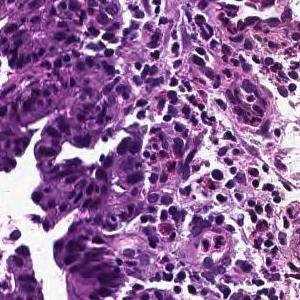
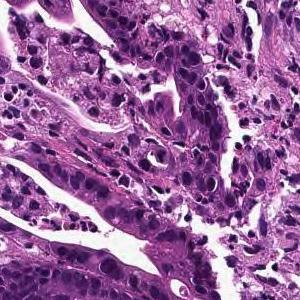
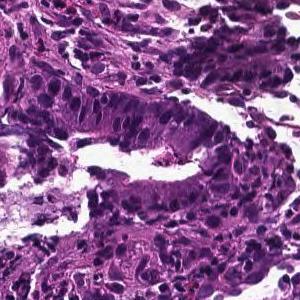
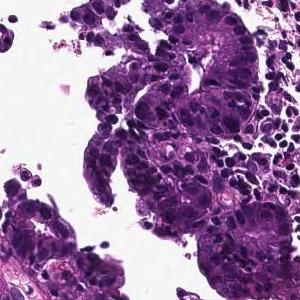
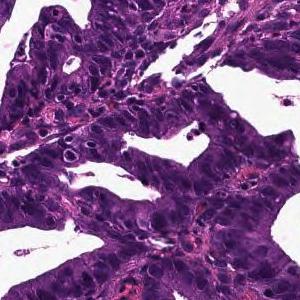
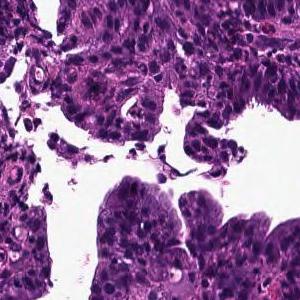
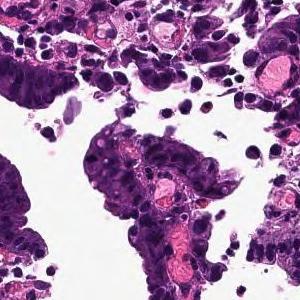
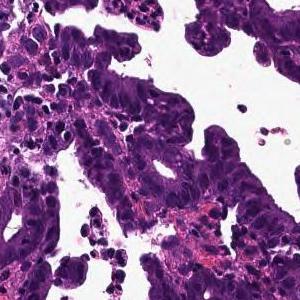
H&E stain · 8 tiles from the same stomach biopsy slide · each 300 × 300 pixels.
The pathologist's report on the biopsy slide these tiles were taken from. The report and the diagnosis describe the slide as a whole, so these tiles may not show every feature named and may include non-tumor tissue.
Tumor cells are large, highly columnar, large club-shaped nuclei, and are associated with chromatin aggregation. Papillary adenocarcinoma.
